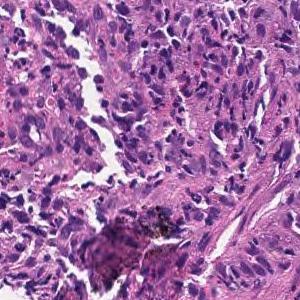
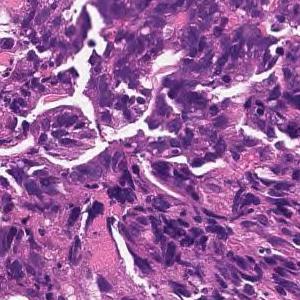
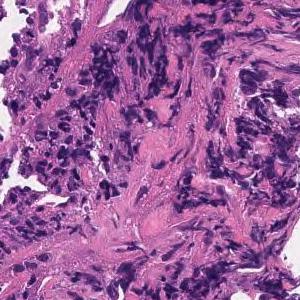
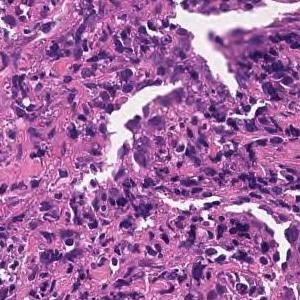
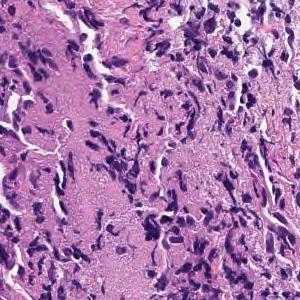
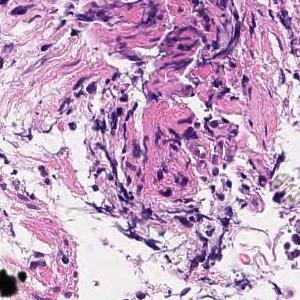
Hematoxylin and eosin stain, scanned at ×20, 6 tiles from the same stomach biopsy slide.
Pathology report for the biopsy slide these tiles were cut from. The report describes the whole slide, diagnosis included: not every finding it names need appear in these tiles, which may also show non-tumor tissue.
Tumor tissue consisting of medium-sized, cord-like or irregular glandular infiltration is observed in the superficial epithelium. Poorly differentiated adenocarcinoma, non-solid type or moderately differentiated tubular adenocarcinoma
Tumor subtype: moderately to poorly differentiated adenocarcinoma.
"Non-solid type" is a category of the Japanese Classification of Gastric Carcinoma.
